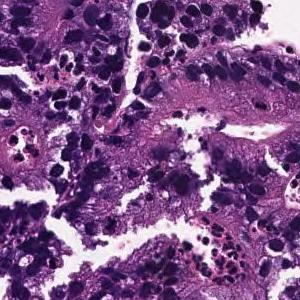
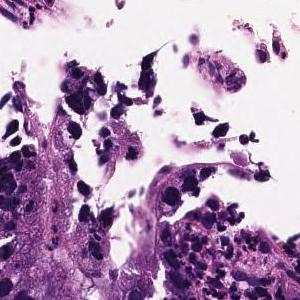
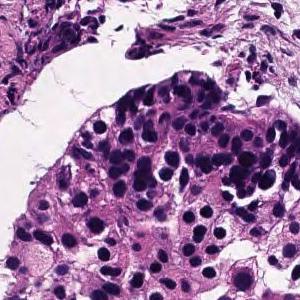
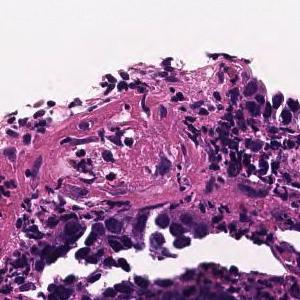
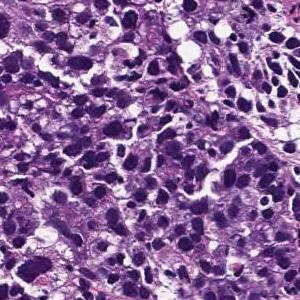
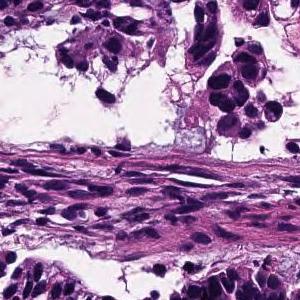
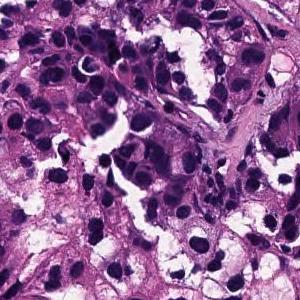
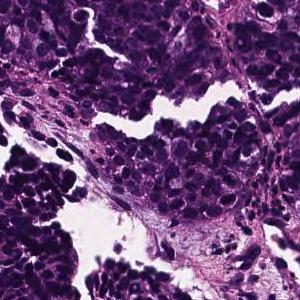
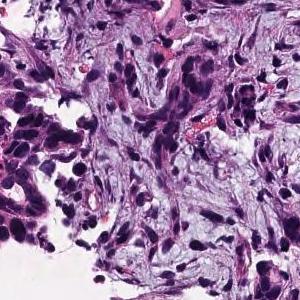
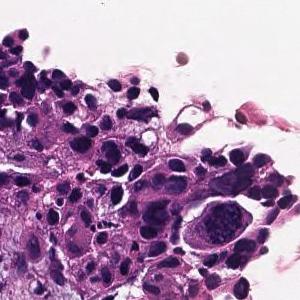
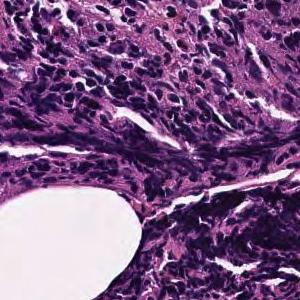
Hematoxylin and eosin stain · 20× magnification · 11 patches cut from one gastric biopsy slide · 300 × 300 pixels each.
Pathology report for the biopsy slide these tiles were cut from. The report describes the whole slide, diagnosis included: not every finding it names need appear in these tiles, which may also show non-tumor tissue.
Medium to small, irregular glandular ducts are formed in the superficial epithelium, and in some cases, the glandular ducts are fused to show solid alveolar lesions and infiltrating tumor tissue is observed. Moderately to poorly differentiated adenocarcinoma.
